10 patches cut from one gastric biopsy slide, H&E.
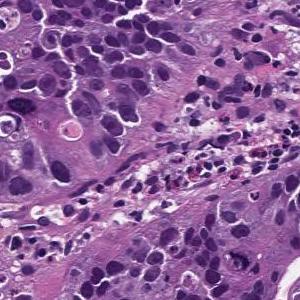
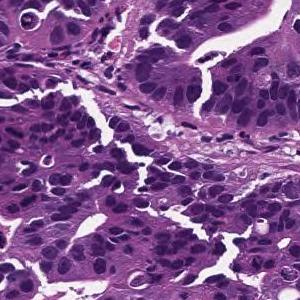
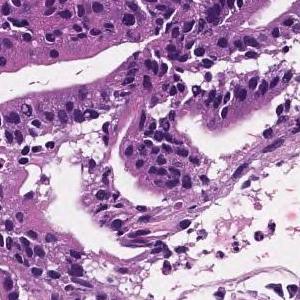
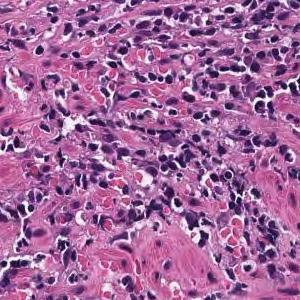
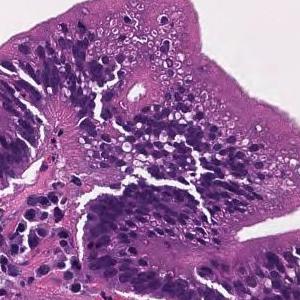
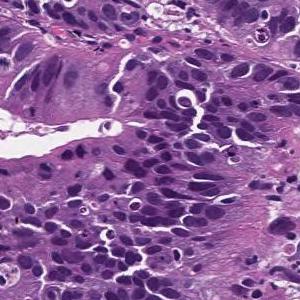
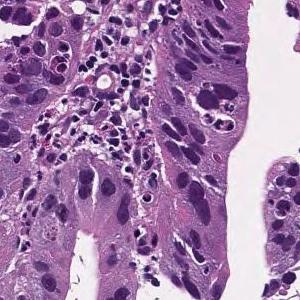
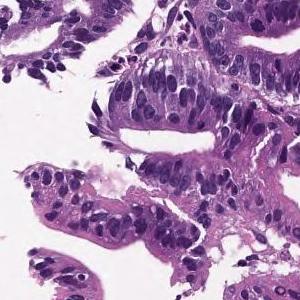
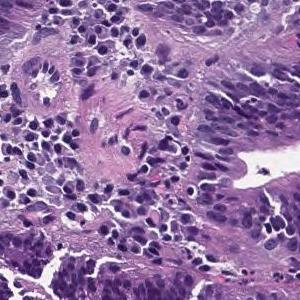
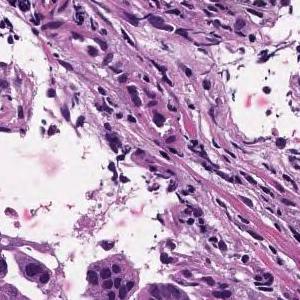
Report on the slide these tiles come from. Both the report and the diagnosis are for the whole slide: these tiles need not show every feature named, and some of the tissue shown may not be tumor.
Tumor cells are large, highly columnar, large club-shaped nuclei, and are associated with chromatin aggregation. Papillary adenocarcinoma.
